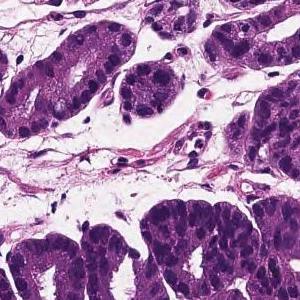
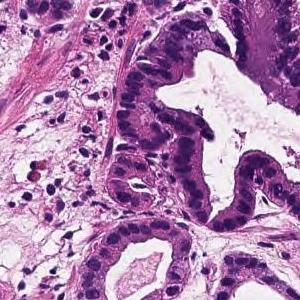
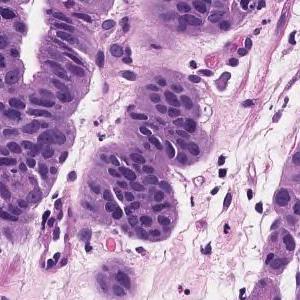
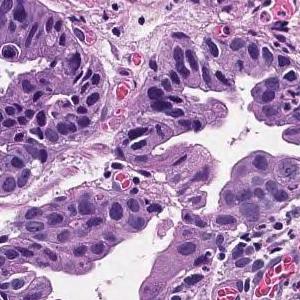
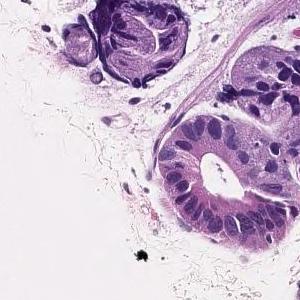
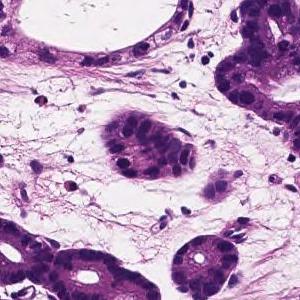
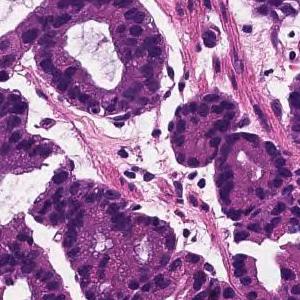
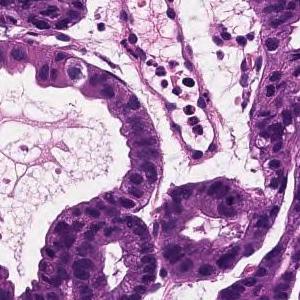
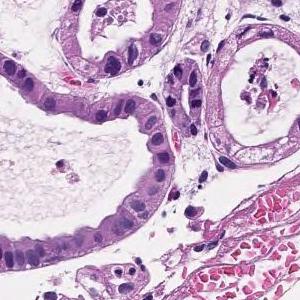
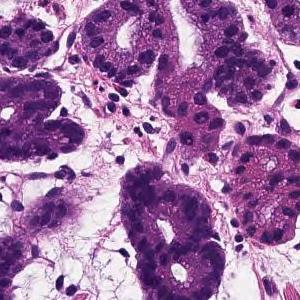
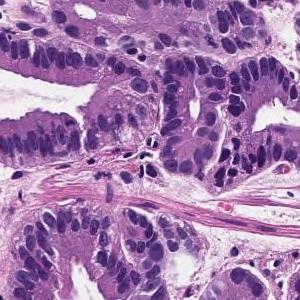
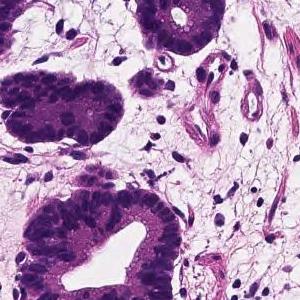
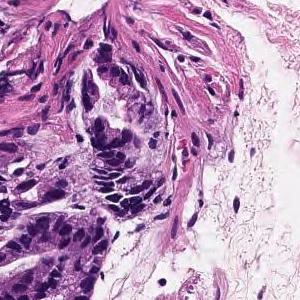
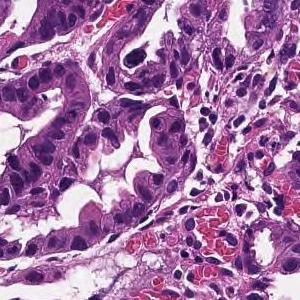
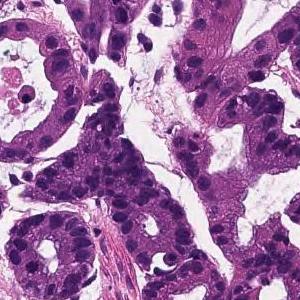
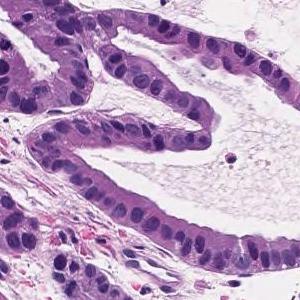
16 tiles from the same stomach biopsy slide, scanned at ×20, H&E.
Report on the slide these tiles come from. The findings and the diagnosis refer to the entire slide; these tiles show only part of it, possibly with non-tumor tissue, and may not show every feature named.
Tumor cells are large, highly columnar, large club-shaped nuclei, and are associated with chromatin aggregation. Papillary adenocarcinoma.
